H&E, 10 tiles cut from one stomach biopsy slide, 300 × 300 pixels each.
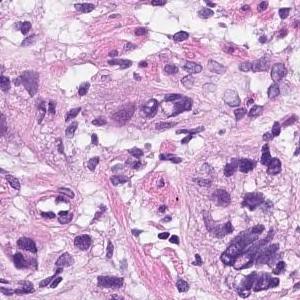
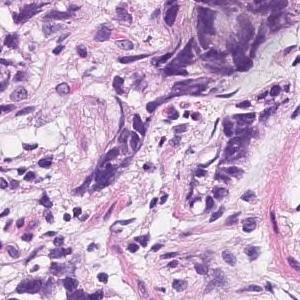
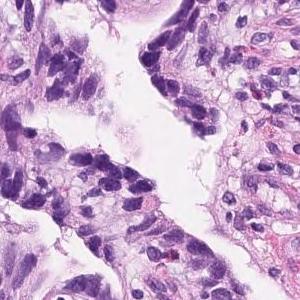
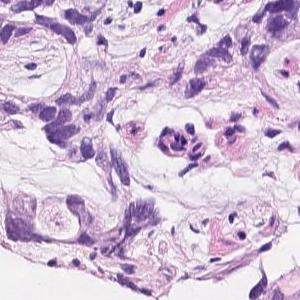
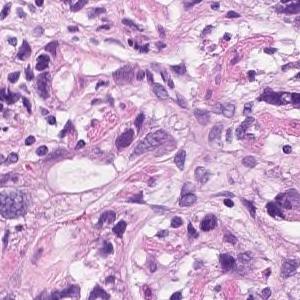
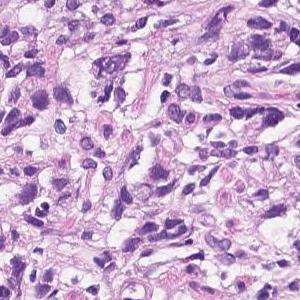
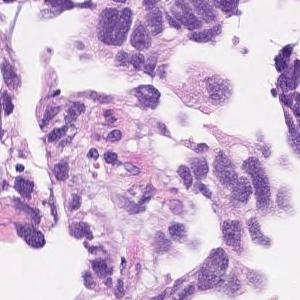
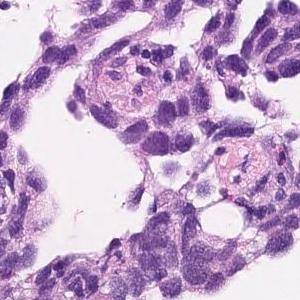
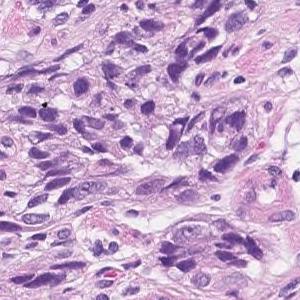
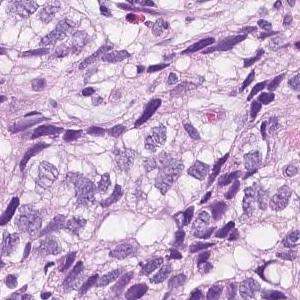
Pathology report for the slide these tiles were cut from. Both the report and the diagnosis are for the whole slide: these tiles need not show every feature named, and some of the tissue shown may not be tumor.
In the superficial epithelium, tumor tissue that invades by forming medium-sized to small, irregular ducts is observed. Moderately differentiated adenocarcinoma.
Tumor subtype: moderately differentiated tubular adenocarcinoma.
